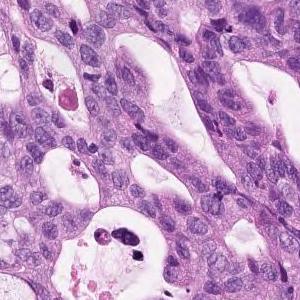
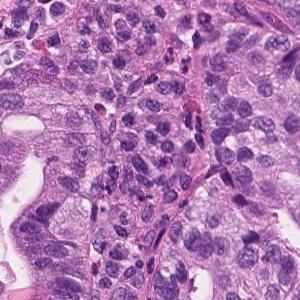
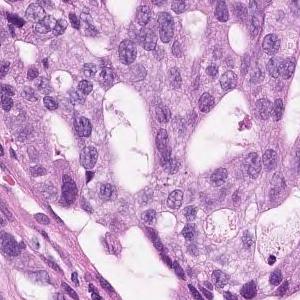
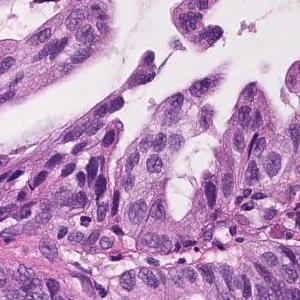
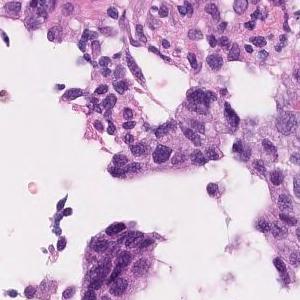
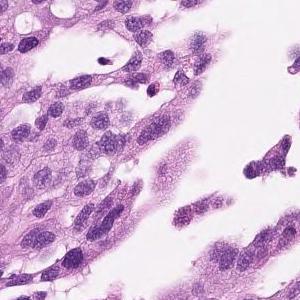
6 patches cut from one gastric biopsy slide.
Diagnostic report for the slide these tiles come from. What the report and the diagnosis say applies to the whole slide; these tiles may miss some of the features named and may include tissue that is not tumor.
Atypical epithelium forming papillary or sieving ducts and infiltrating growth is observed. Papillary adenocarcinoma.
